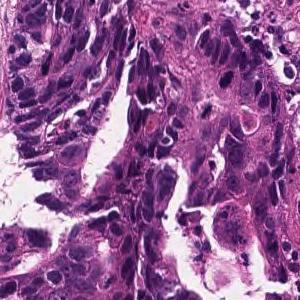
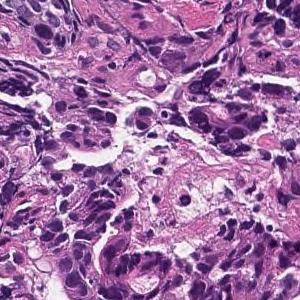
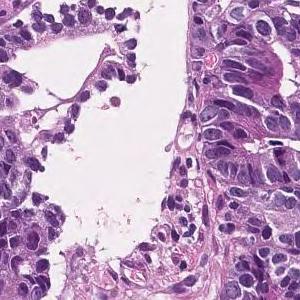
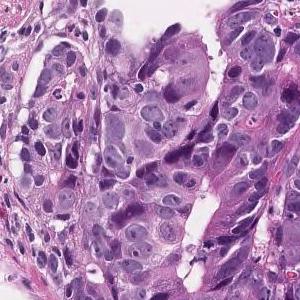
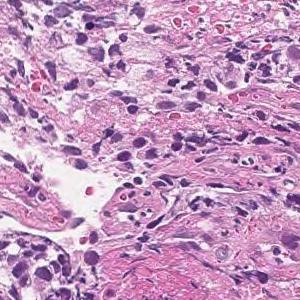
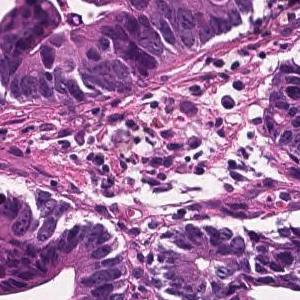
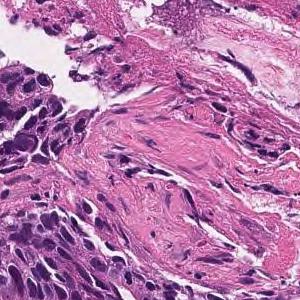
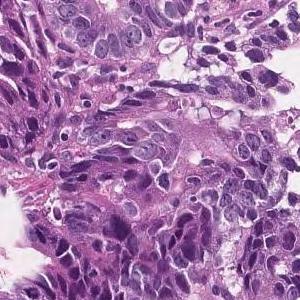
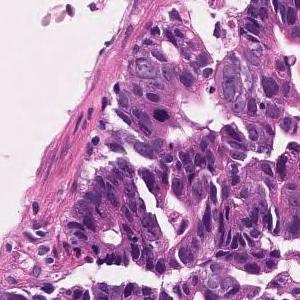
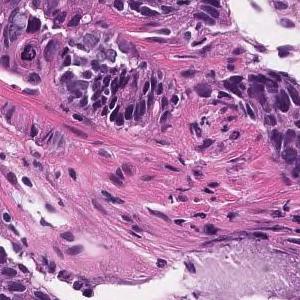
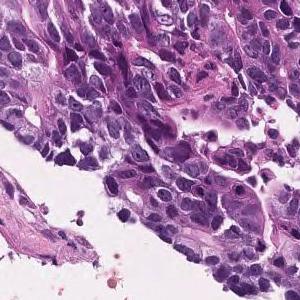
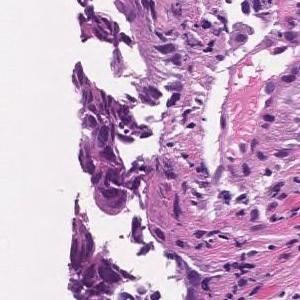
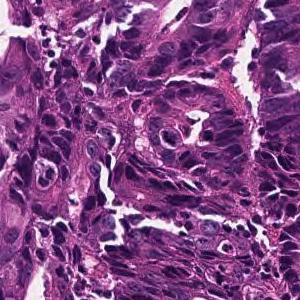
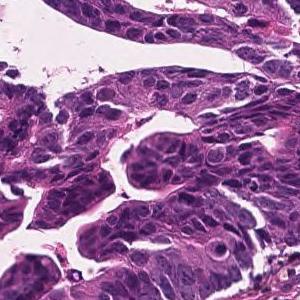
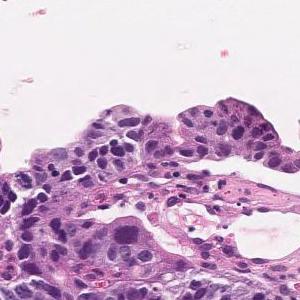
15 tiles cut from one stomach biopsy slide; 300×300 px each; hematoxylin and eosin stain; 20× magnification.
Pathology report for the slide these tiles were cut from. What the report and the diagnosis say applies to the whole slide; these tiles may miss some of the features named and may include tissue that is not tumor.
In the superficial epithelium, tumor tissue that invades by forming medium-sized to small, irregular ducts is observed. moderately differentiated tubular adenocarcinoma.
